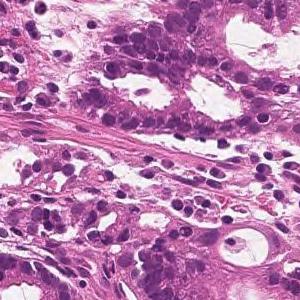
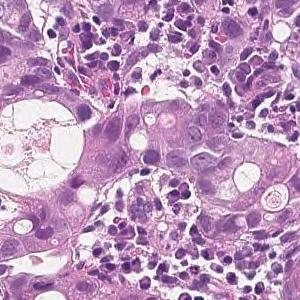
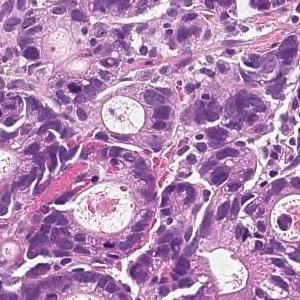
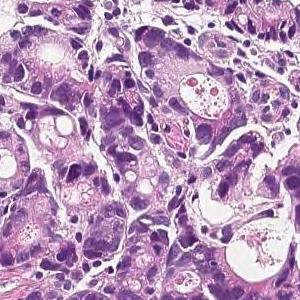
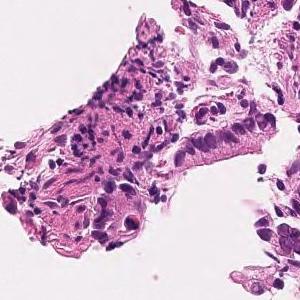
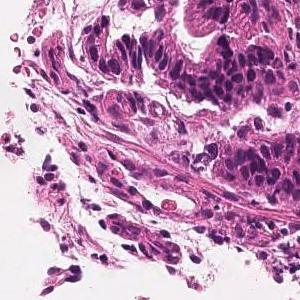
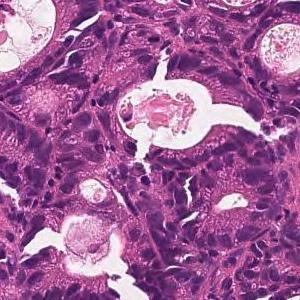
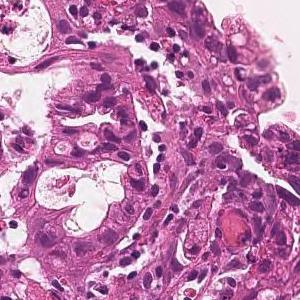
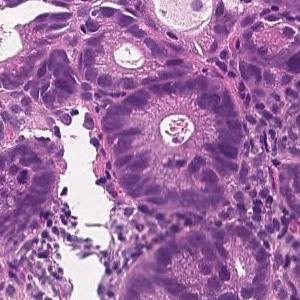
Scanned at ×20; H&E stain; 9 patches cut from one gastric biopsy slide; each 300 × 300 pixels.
Pathology report for the slide these tiles were cut from. What the report and the diagnosis say applies to the whole slide; these tiles may miss some of the features named and may include tissue that is not tumor.
On the superficial epithelium, tumor tissue is found in which medium-sized irregular gland ducts fuse with each other and infiltrate. moderately differentiated tubular adenocarcinoma
